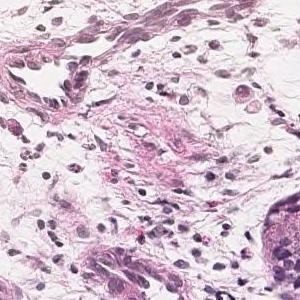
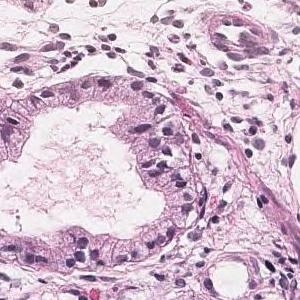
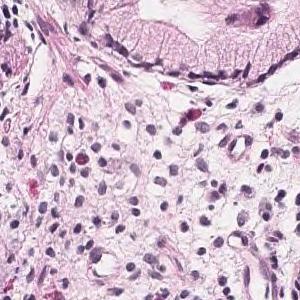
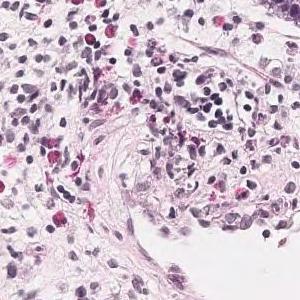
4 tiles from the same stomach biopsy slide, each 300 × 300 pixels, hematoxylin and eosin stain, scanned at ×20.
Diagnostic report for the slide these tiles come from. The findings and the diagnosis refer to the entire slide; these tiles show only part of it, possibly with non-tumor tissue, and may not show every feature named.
Tumor tissue is observed in which atypical epithelial cells with mucus in the vesicles proliferate while being isolated. Signet ring cell carcinoma
